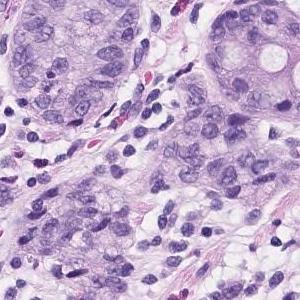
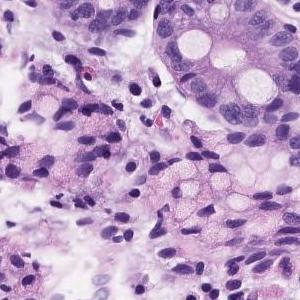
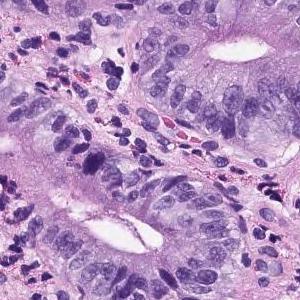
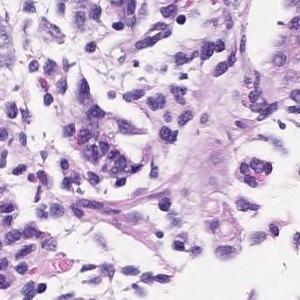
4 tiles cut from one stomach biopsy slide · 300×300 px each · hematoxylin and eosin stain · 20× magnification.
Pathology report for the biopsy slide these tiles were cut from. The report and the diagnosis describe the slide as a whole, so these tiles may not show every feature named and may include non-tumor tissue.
Atypical l cells with atypical nuclei forming diffuse or small irregular atypical ducts and growing. Moderately to poorly differentiated adenocarcinoma (poorly differentiated adenocarcinoma, solid type moderately differentiated tubular adenocarcinoma)
Classified as moderately to poorly differentiated adenocarcinoma.
The term "solid type" comes from the Japanese Classification of Gastric Carcinoma; the WHO 2019 equivalent is tubular adenocarcinoma, poorly differentiated.
